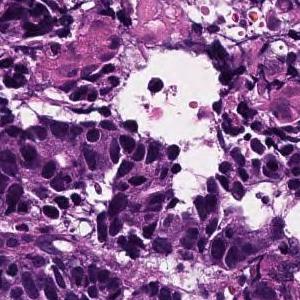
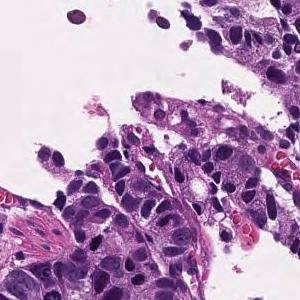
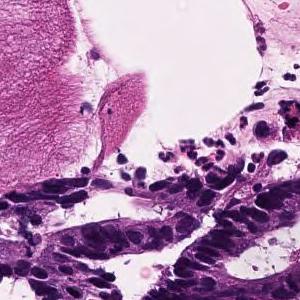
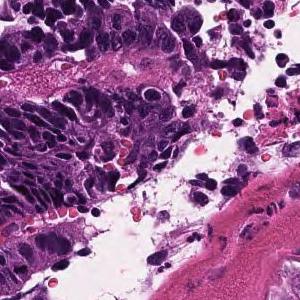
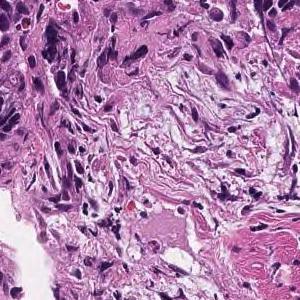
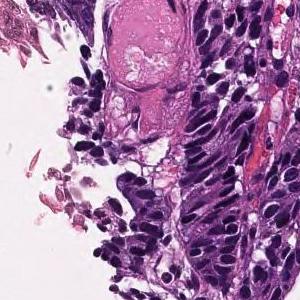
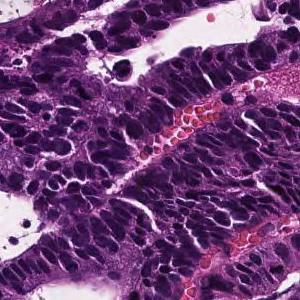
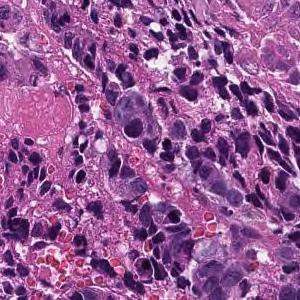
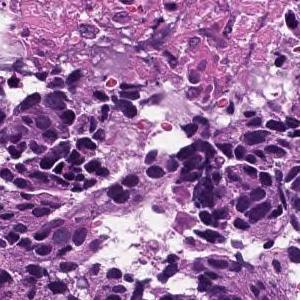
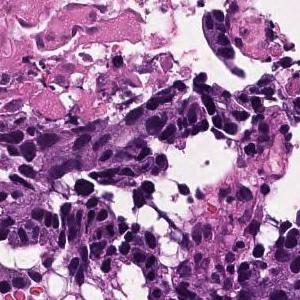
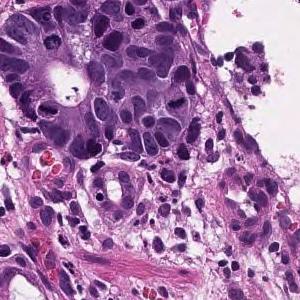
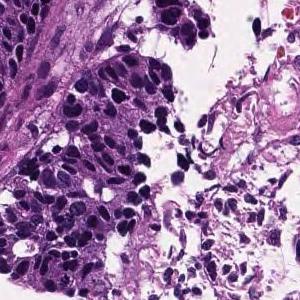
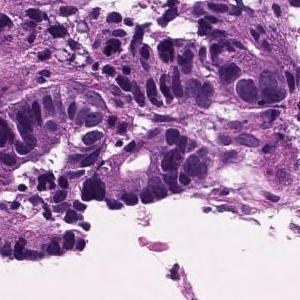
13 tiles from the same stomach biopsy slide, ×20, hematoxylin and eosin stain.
Report on the slide these tiles come from. What the report and the diagnosis say applies to the whole slide; these tiles may miss some of the features named and may include tissue that is not tumor.
Tumor tissue consisting of large, irregular glandular ducts, centered on the submucosa, infiltrated by fusion with each other is observed. Well to moderately differentiated tubular adenocarcinoma (well differentiated tubular adenocarcinoma-moderately differentiated tubular adenocarcinoma)
Subtype: Well to moderately differentiated tubular adenocarcinoma.
